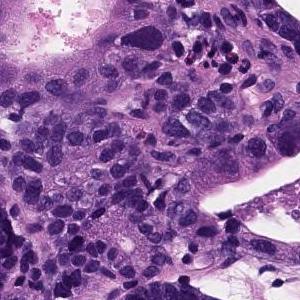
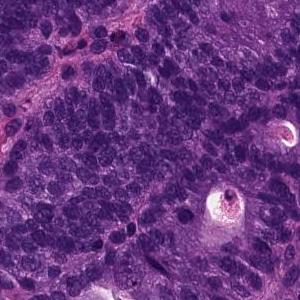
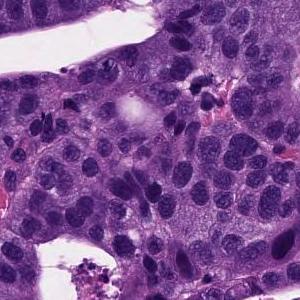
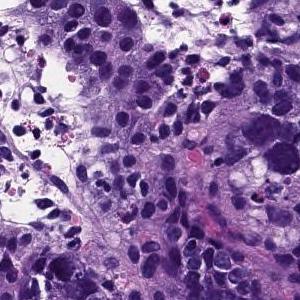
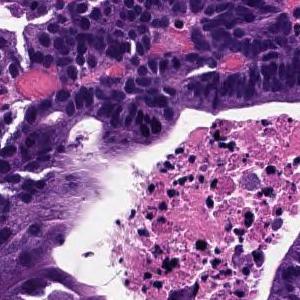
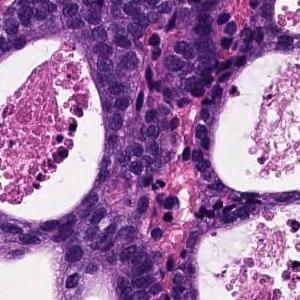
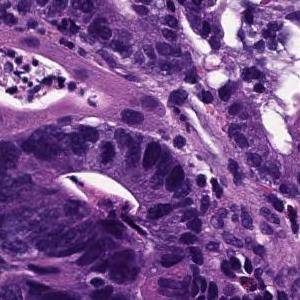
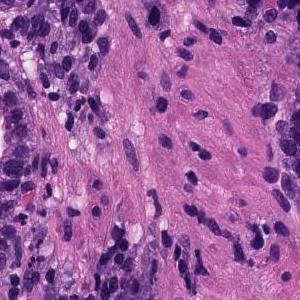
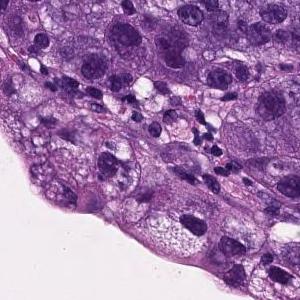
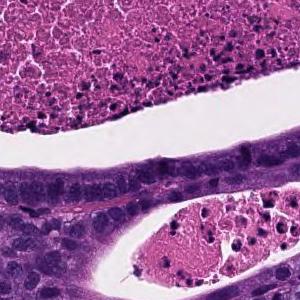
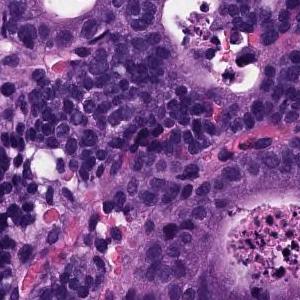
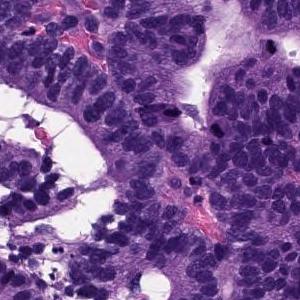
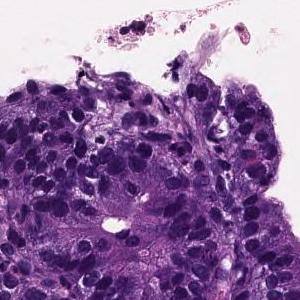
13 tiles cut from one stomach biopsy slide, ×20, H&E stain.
Pathology report for the biopsy slide these tiles were cut from. The report and the diagnosis cover the entire slide, so not every feature they name need be visible here, and some tissue shown may not be tumor.
From the superficial epithelium to the muscularis mucosae, tumor tissue consisting of medium-sized and irregular glandular ducts infiltrating is observed. Well differentiated tubular adenocarcinoma
